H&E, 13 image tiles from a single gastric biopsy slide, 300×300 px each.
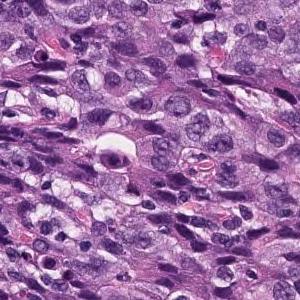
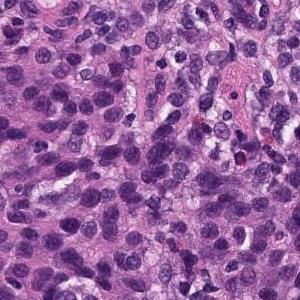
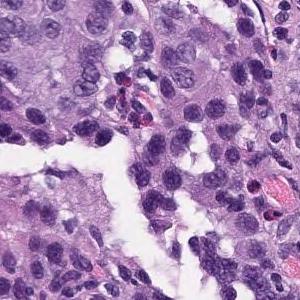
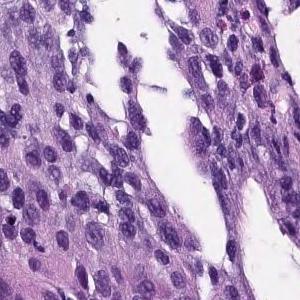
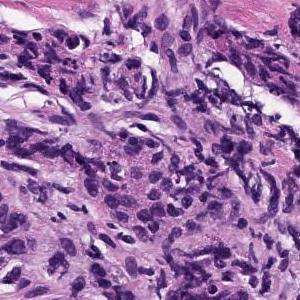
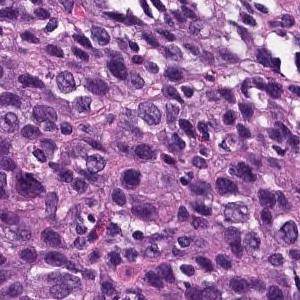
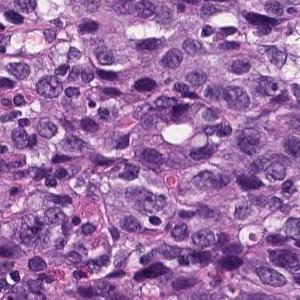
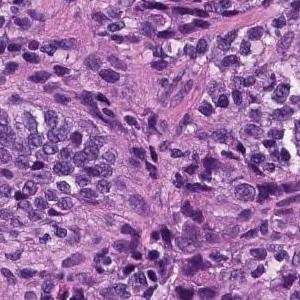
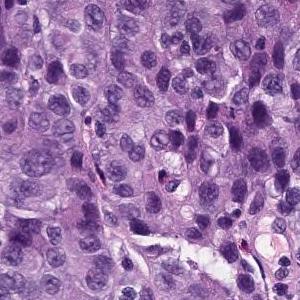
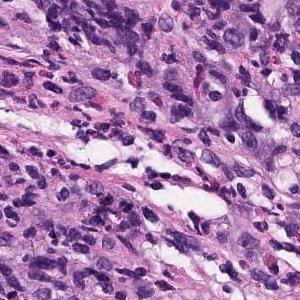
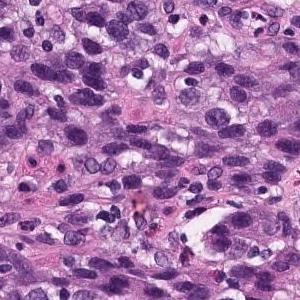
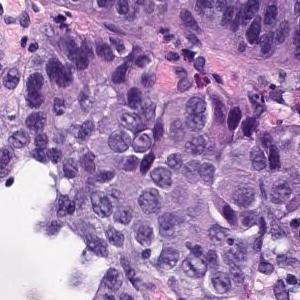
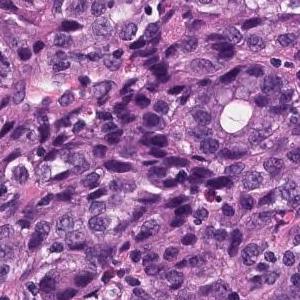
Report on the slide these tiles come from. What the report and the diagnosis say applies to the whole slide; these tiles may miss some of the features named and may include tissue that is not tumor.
In the superficial epithelium, tumor tissue that invades by forming medium-sized to small, irregular ducts is observed. Moderately differentiated adenocarcinoma.
Histological subtype: Moderately differentiated tubular adenocarcinoma.
